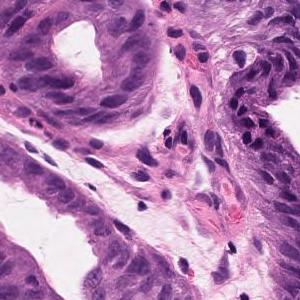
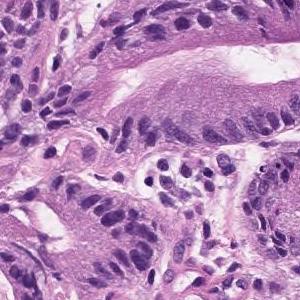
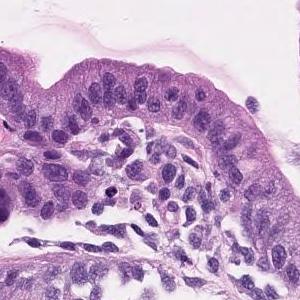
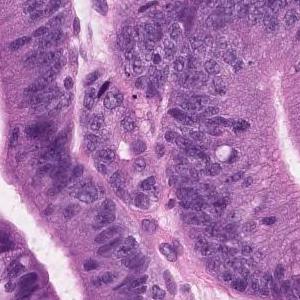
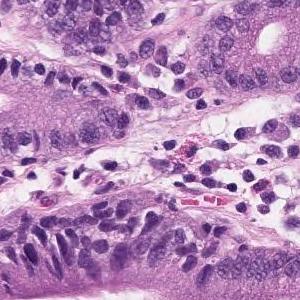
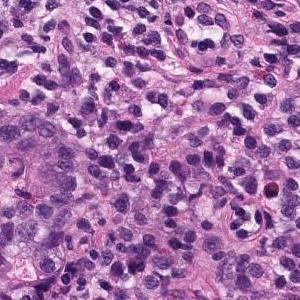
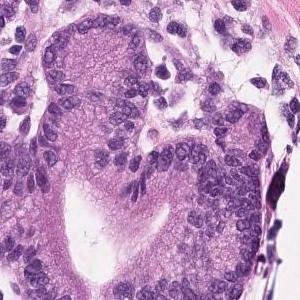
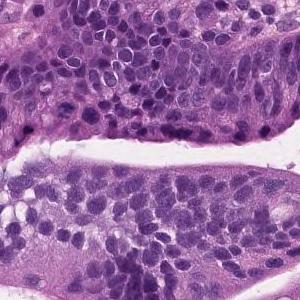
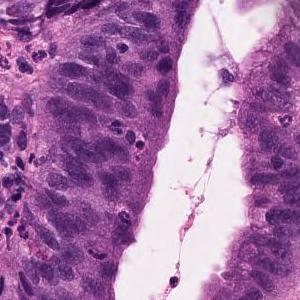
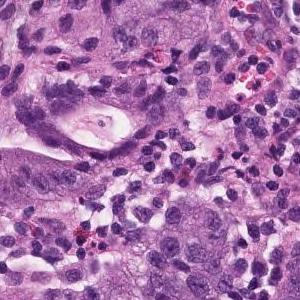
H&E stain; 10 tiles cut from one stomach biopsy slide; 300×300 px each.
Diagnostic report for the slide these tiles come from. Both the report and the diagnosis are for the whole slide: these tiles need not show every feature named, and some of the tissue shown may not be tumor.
On the superficial epithelium, tumor tissue consisting of large, irregular glandular ducts partially fused and infiltrated is observed. Well to moderately differentiated tubular adenocarcinoma (well differentiated tubular adenocarcinoma, moderately differentiated tubular adenocarcinoma)
Histological subtype: Well to moderately differentiated tubular adenocarcinoma.
